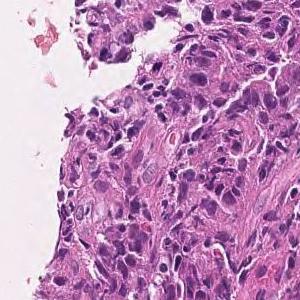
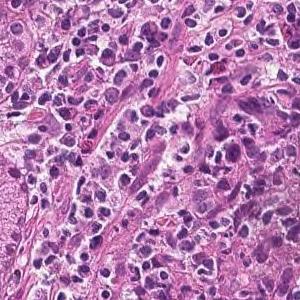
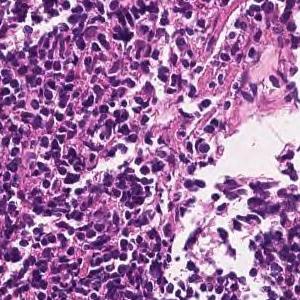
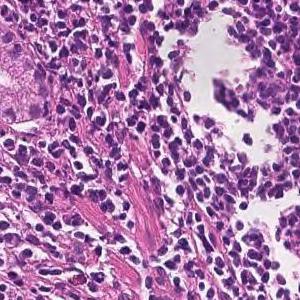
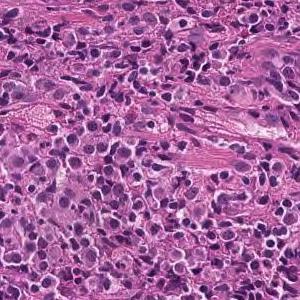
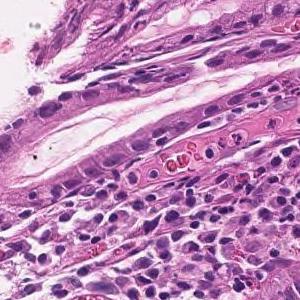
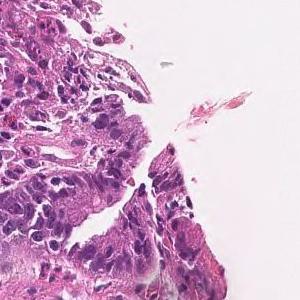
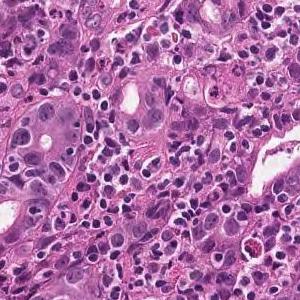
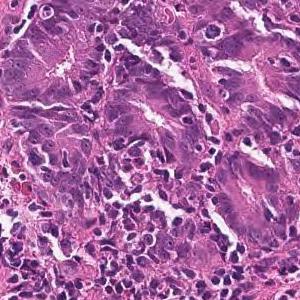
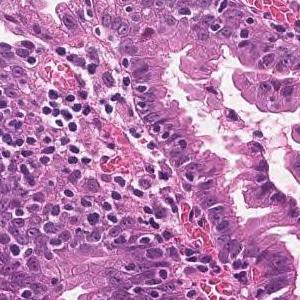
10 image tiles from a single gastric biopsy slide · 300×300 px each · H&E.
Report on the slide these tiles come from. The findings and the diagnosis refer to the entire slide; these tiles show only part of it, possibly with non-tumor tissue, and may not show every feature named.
Tumor tissue consisting of medium-sized, cord-like or irregular glandular infiltration is observed in the superficial epithelium. Poorly differentiated adenocarcinoma, non-solid type or moderately differentiated tubular adenocarcinoma
The dataset labels this slide poorly differentiated adenocarcinoma, non-solid type.
The term "non-solid type" comes from the Japanese Classification of Gastric Carcinoma.
